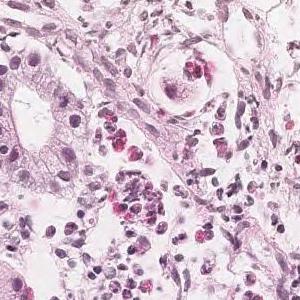
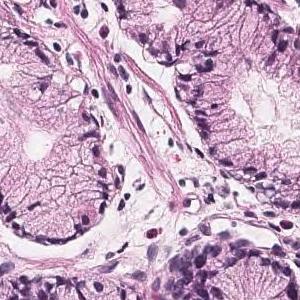
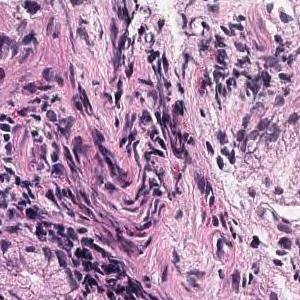
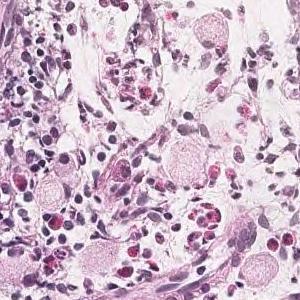
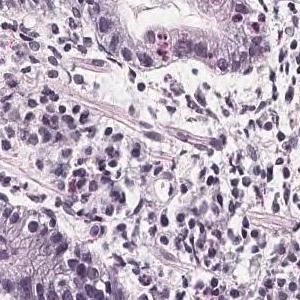
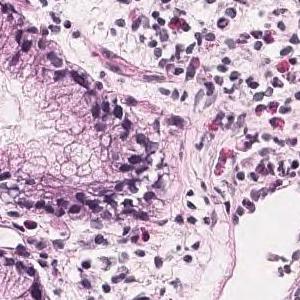
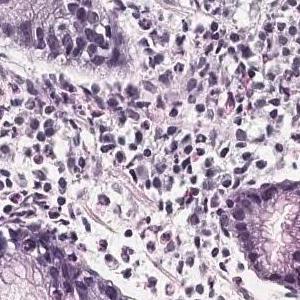
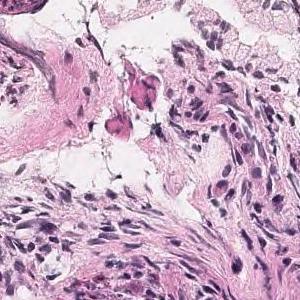
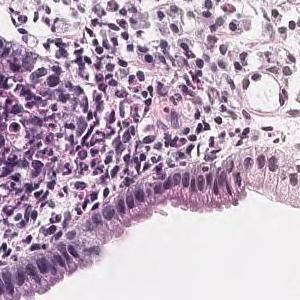
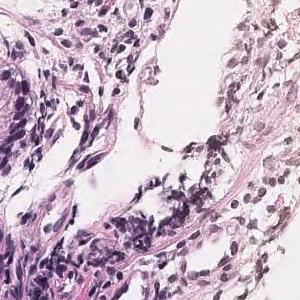
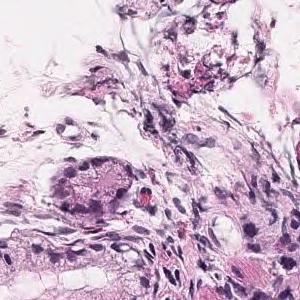
Scanned at ×20, hematoxylin and eosin stain, 11 patches cut from one gastric biopsy slide.
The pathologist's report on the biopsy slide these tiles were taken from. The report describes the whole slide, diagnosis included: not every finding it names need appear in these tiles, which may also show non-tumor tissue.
Tumor tissue is observed in which atypical epithelial cells with mucus in the vesicles proliferate while being isolated. Signet ring cell carcinoma
